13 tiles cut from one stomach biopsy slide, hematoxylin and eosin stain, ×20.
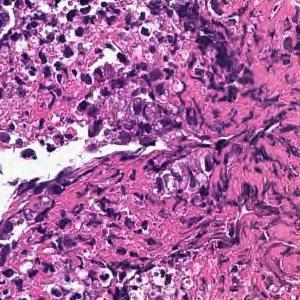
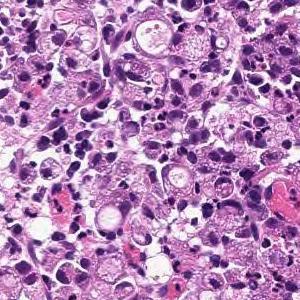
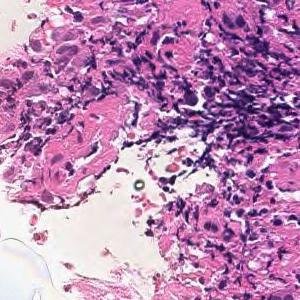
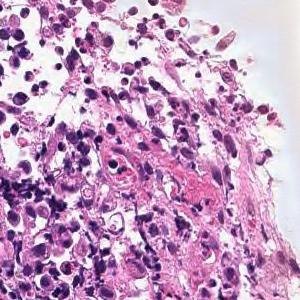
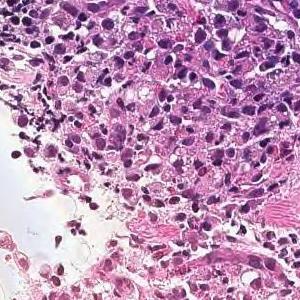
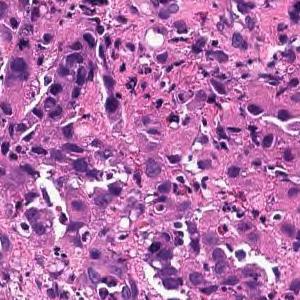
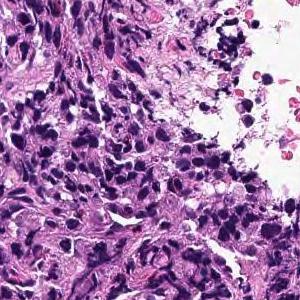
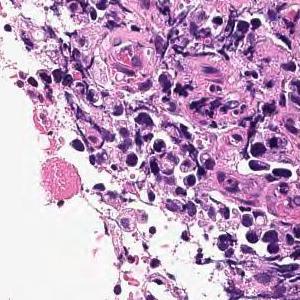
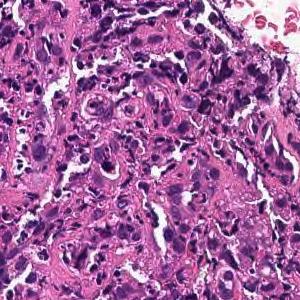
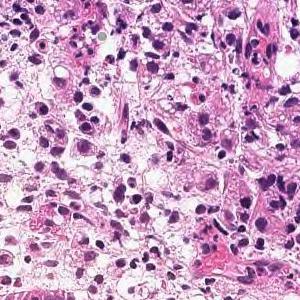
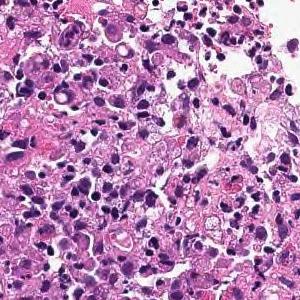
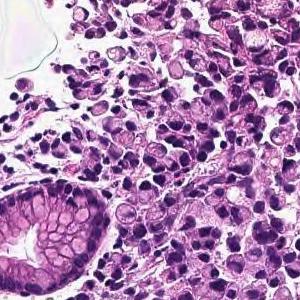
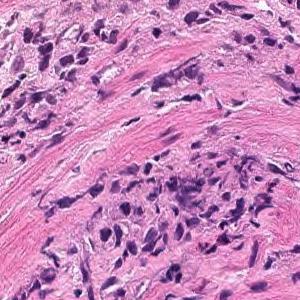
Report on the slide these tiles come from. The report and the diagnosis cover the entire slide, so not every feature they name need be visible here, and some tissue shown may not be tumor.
Tumor tissue consisting of diffusely infiltrated large atypical epithelial cells or signet ring atypical cells is observed in the superficial epithelium. Poorly differentiated adenocarcinoma, solid-type
Subtype: Poorly differentiated adenocarcinoma, solid type (Japanese Classification of Gastric Carcinoma). The WHO 2019 equivalent is tubular adenocarcinoma, poorly differentiated.
